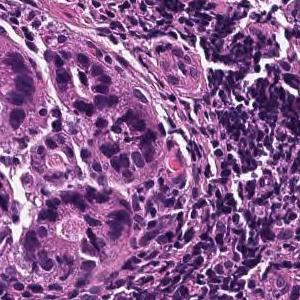
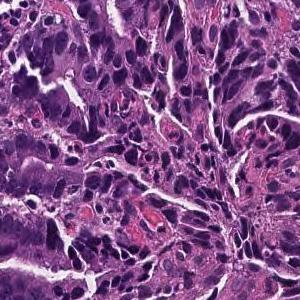
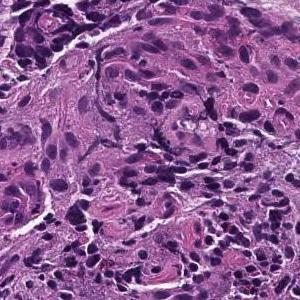
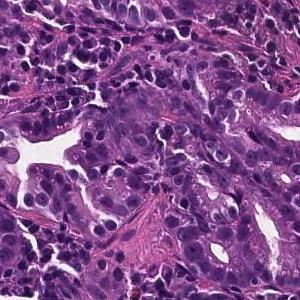
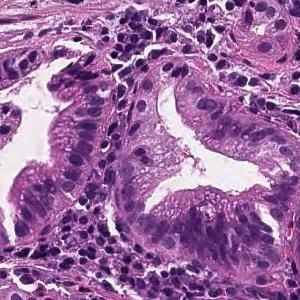
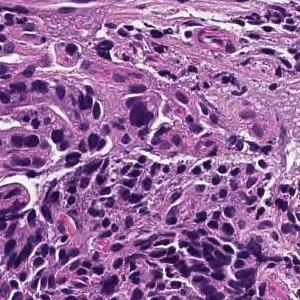
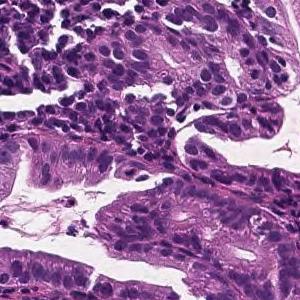
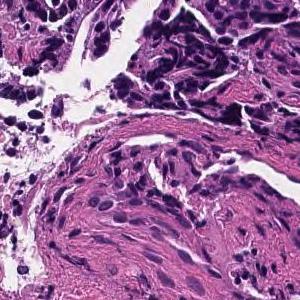
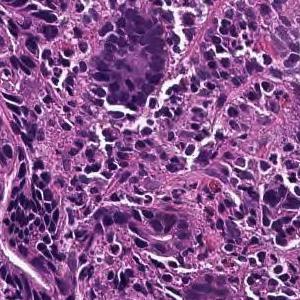
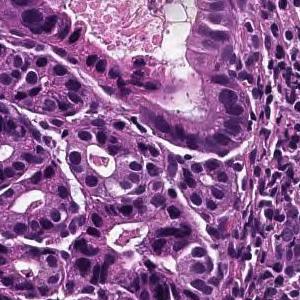
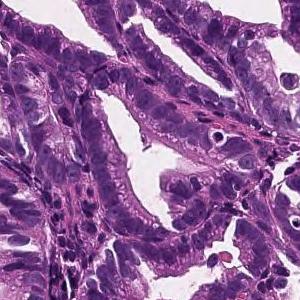
11 image tiles from a single gastric biopsy slide, 300×300 px each, H&E.
Report on the slide these tiles come from. Both the report and the diagnosis are for the whole slide: these tiles need not show every feature named, and some of the tissue shown may not be tumor.
On the superficial epithelium, tumor tissue consisting of large irregular glandular ducts partially fused and infiltrated is observed. Well to moderately differentiated tubular adenocarcinoma (well differentiated tubular adenocarcinoma, moderately differentiated tubular adenocarcinoma)
Subtype: Well to moderately differentiated tubular adenocarcinoma.
